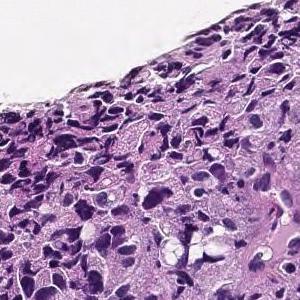
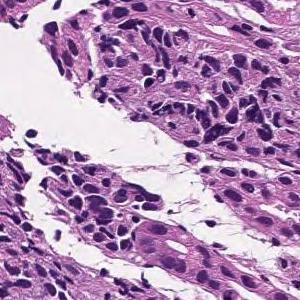
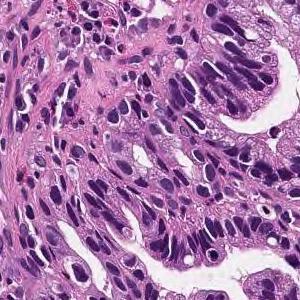
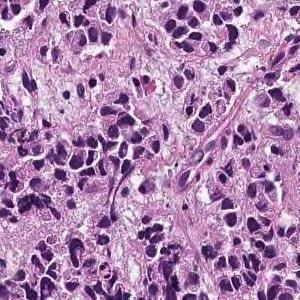
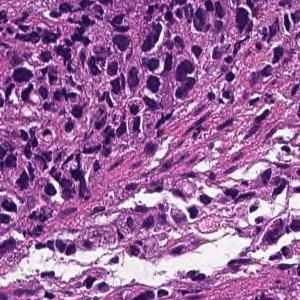
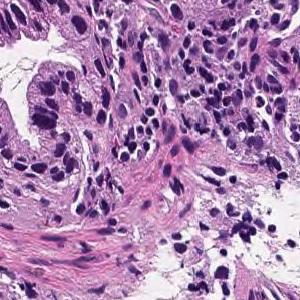
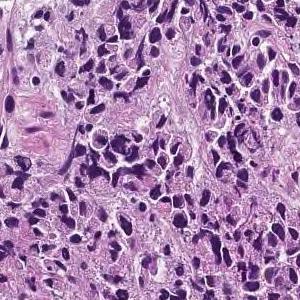
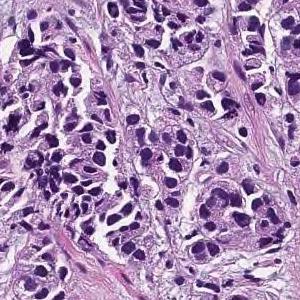
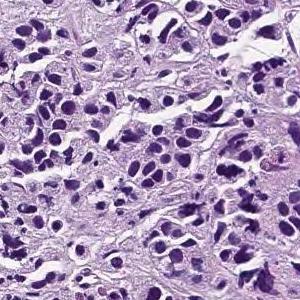
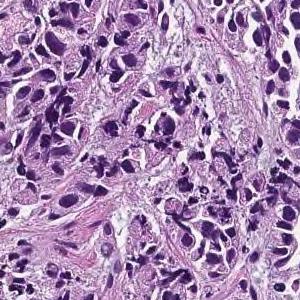
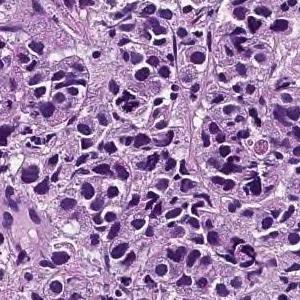
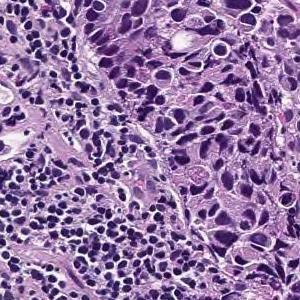
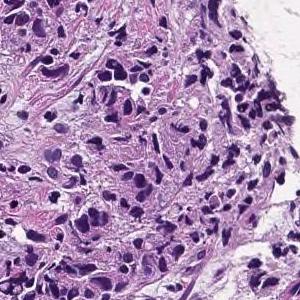
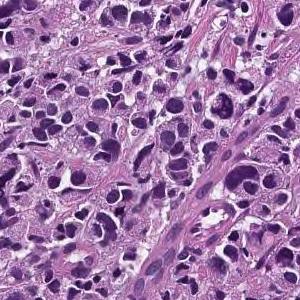
H&E, 14 tiles cut from one stomach biopsy slide.
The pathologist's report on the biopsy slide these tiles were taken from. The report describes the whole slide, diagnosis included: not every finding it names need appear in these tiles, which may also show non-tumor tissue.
The lamina propria shows small cord-like tumor tissue that infiltrates with fibrosis and marked chronic inflammatory cell infiltration. Poorly differentiated adenocarcinoma, non-solid type
The non-solid type named here is a Japanese Classification of Gastric Carcinoma category.
